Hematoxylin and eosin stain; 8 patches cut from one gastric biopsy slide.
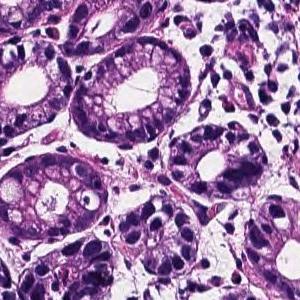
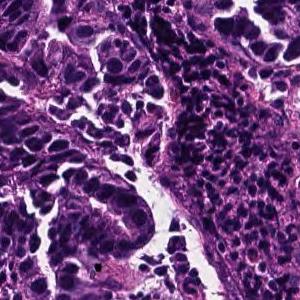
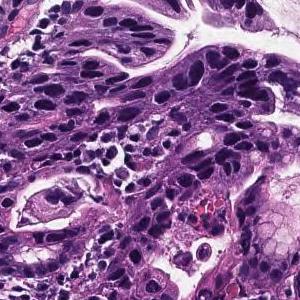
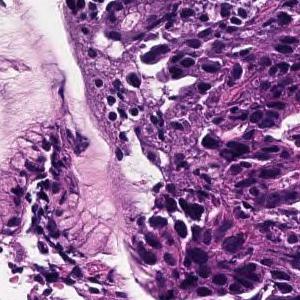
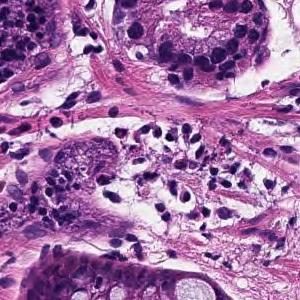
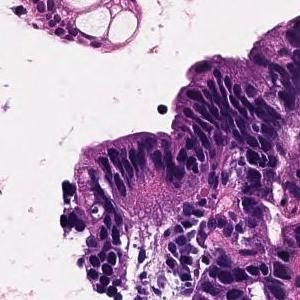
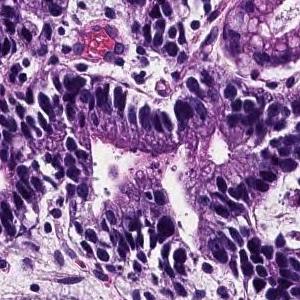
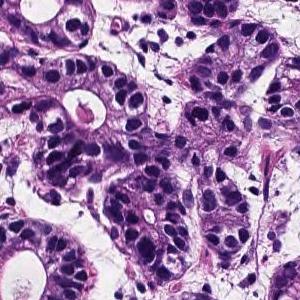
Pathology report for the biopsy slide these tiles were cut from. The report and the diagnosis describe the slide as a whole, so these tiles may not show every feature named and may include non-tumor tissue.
Tumor cells are large, highly columnar, large club-shaped nuclei, and are associated with chromatin aggregation. Papillary adenocarcinoma.
